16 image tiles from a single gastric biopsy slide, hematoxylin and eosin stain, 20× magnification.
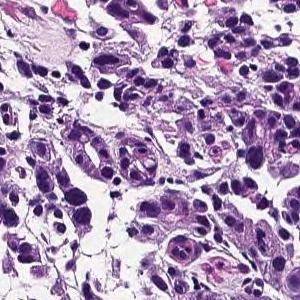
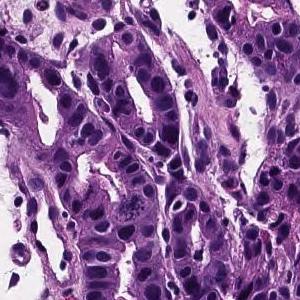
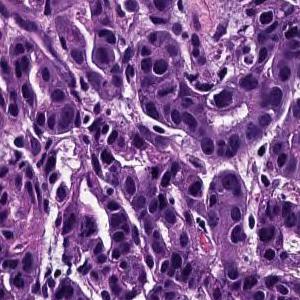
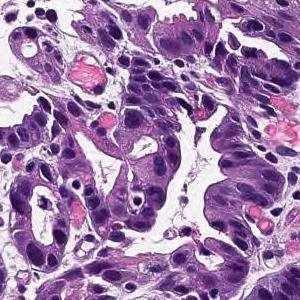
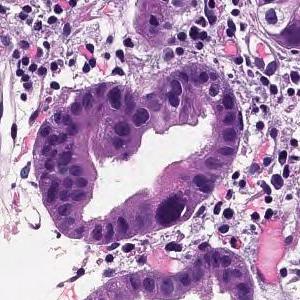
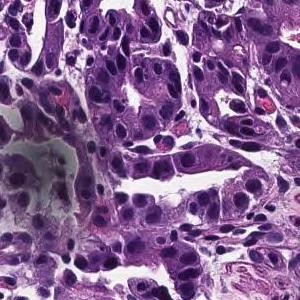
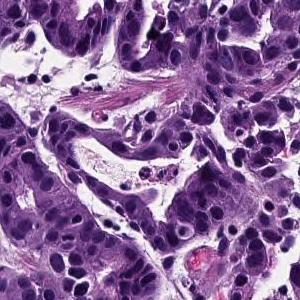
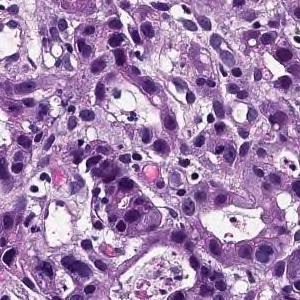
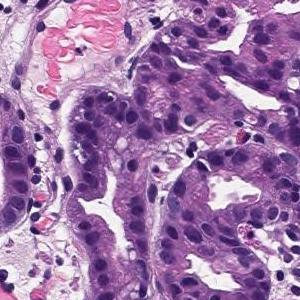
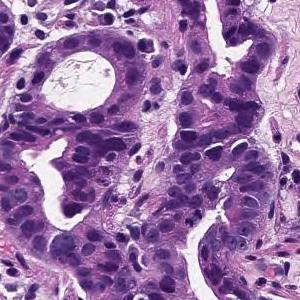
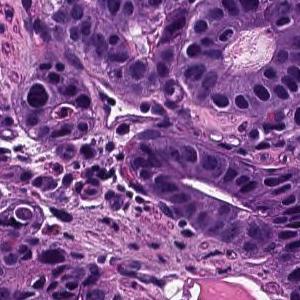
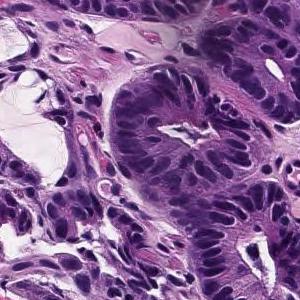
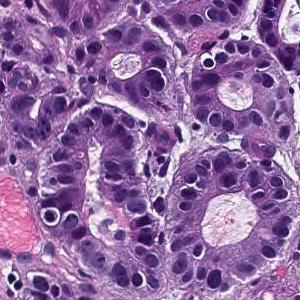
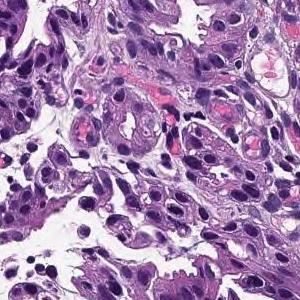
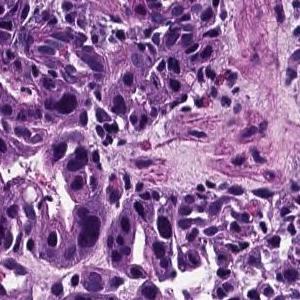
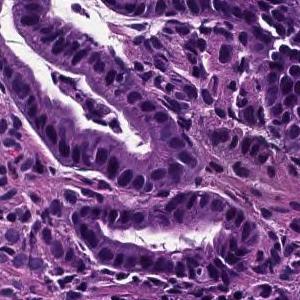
Pathology report for the biopsy slide these tiles were cut from. The report describes the whole slide, diagnosis included: not every finding it names need appear in these tiles, which may also show non-tumor tissue.
From the superficial epithelium to the muscularis mucosae, tumor tissue consisting of medium-sized and irregular glandular ducts infiltrating is observed. Well differentiated tubular adenocarcinoma
